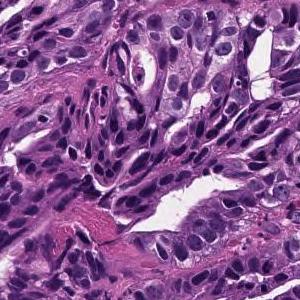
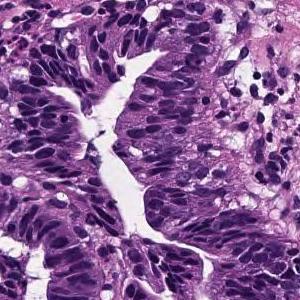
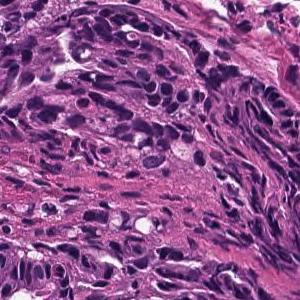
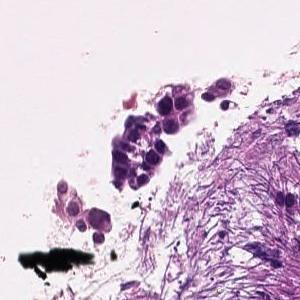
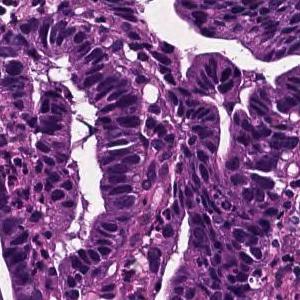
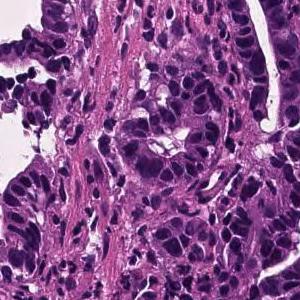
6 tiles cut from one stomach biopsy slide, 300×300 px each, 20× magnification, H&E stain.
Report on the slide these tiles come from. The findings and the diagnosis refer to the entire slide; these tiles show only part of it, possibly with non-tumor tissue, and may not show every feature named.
Tumor cells are large, highly columnar, large club-shaped nuclei, and are associated with chromatin aggregation. Papillary adenocarcinoma.
